9 tiles cut from one stomach biopsy slide · hematoxylin and eosin stain.
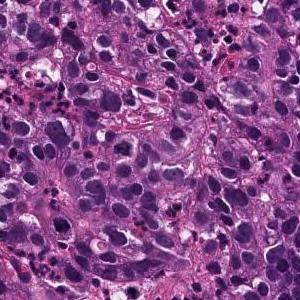
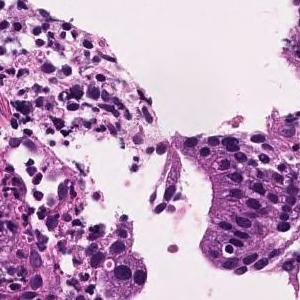
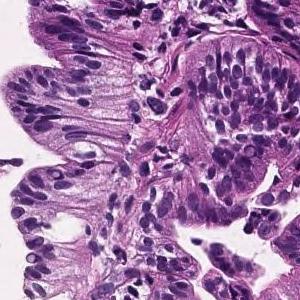
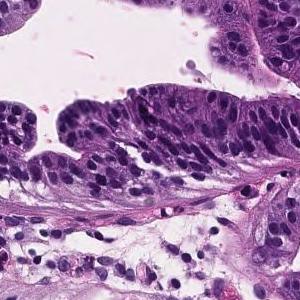
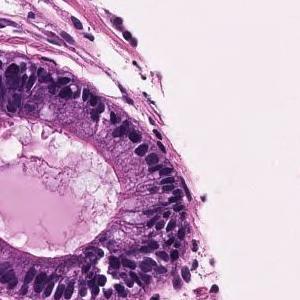
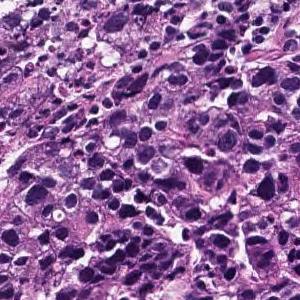
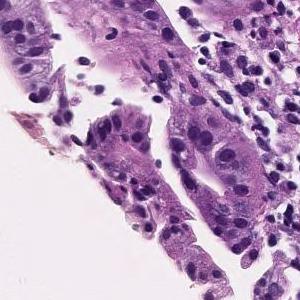
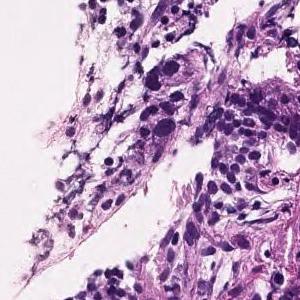
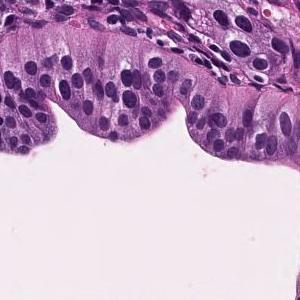
The pathologist's report on the biopsy slide these tiles were taken from. The report describes the whole slide, diagnosis included: not every finding it names need appear in these tiles, which may also show non-tumor tissue.
In the superficial epithelium, tumor tissue that invades by forming medium-sized to small, irregular ducts is observed. moderately differentiated tubular adenocarcinoma.
